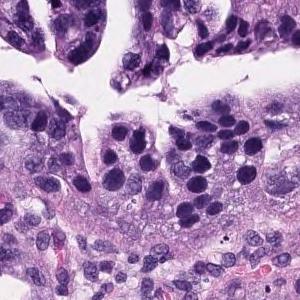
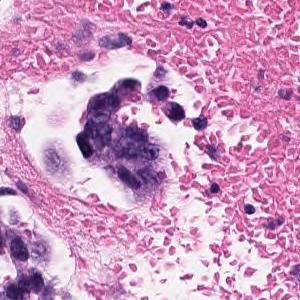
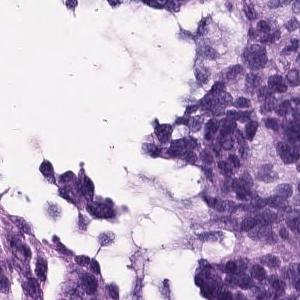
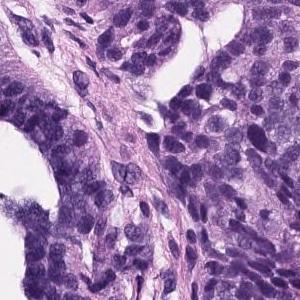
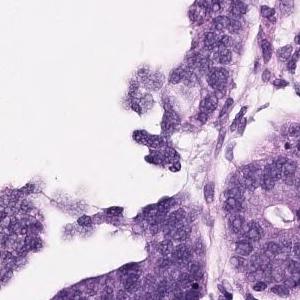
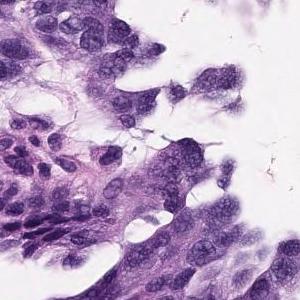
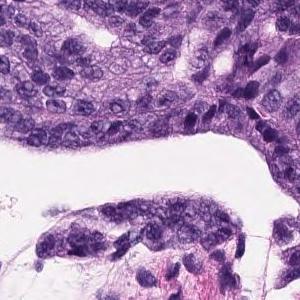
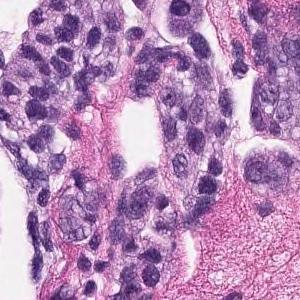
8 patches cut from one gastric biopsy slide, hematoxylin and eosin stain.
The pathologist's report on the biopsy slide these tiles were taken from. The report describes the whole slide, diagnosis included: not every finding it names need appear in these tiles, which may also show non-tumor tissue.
Tumor cells are large, highly columnar, large club-shaped nuclei, and are associated with chromatin aggregation. Papillary adenocarcinoma.
